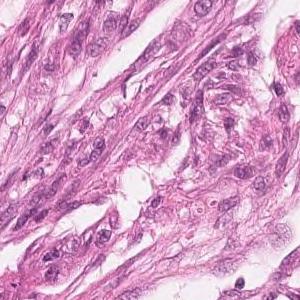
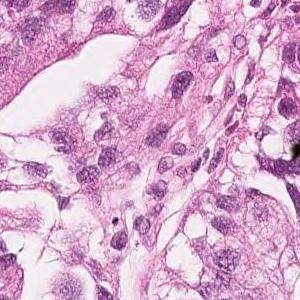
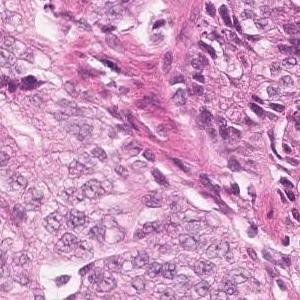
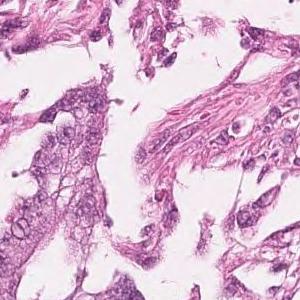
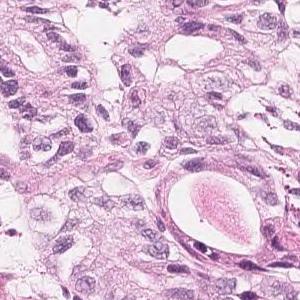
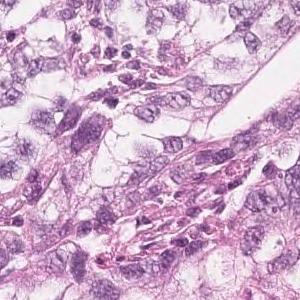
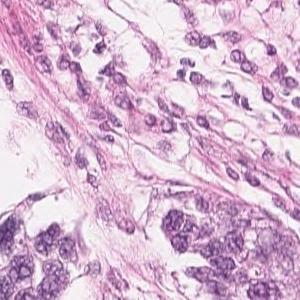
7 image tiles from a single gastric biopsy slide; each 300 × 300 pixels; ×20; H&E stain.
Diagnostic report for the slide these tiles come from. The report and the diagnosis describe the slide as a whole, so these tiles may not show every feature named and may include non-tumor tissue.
Highly columnar epithelium with disordered nuclear localization proliferates showing fusion ductal construction. moderately differentiated tubular adenocarcinoma
